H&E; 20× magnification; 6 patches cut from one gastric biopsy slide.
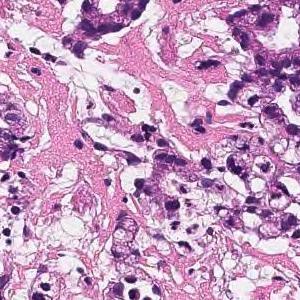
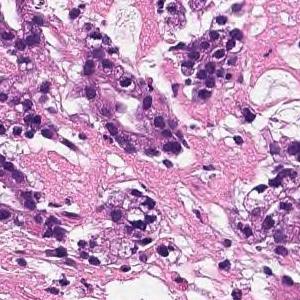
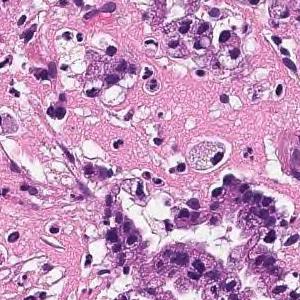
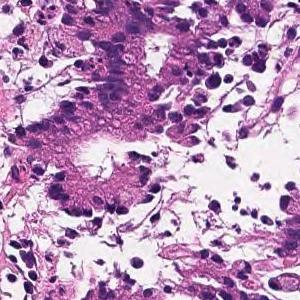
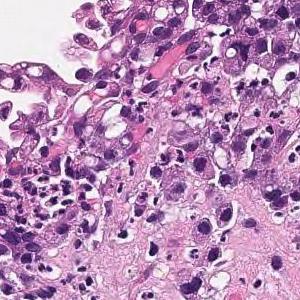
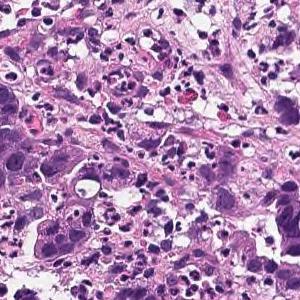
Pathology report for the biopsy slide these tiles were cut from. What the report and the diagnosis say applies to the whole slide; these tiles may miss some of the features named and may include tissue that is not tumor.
In the superficial epithelium, tumor tissue that invades by forming medium-sized to small, irregular ducts is observed. moderately differentiated tubular adenocarcinoma.
